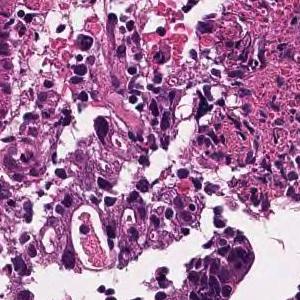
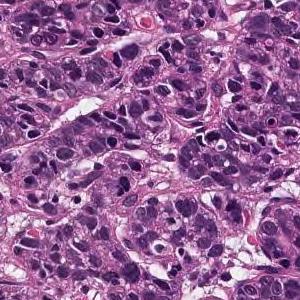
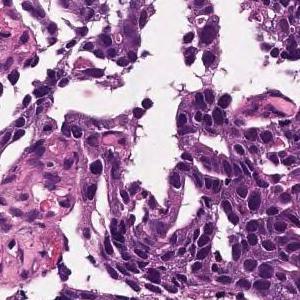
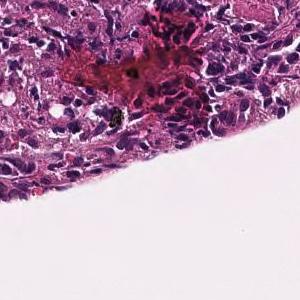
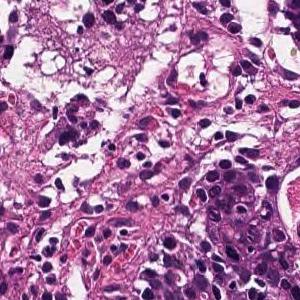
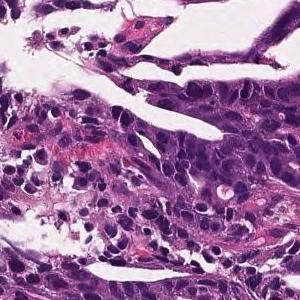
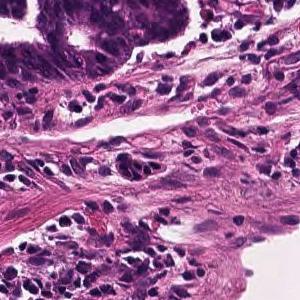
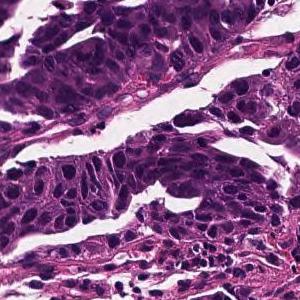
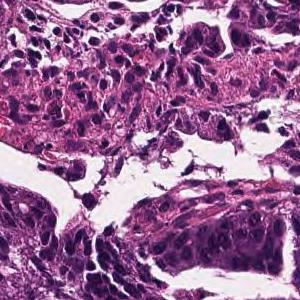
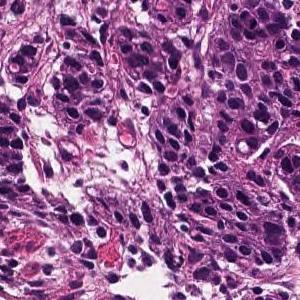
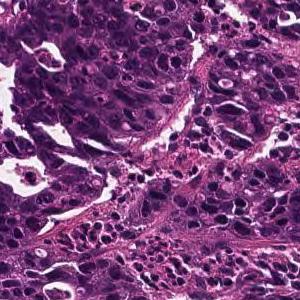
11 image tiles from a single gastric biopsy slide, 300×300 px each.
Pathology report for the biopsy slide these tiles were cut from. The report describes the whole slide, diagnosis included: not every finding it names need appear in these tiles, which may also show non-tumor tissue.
Medium to small, irregular glandular ducts are formed in the superficial epithelium, and in some cases, the glandular ducts are fused to show solid alveolar lesions and infiltrating tumor tissue is observed. Moderately to poorly differentiated adenocarcinoma.
